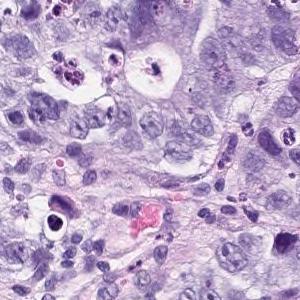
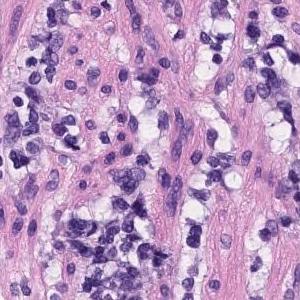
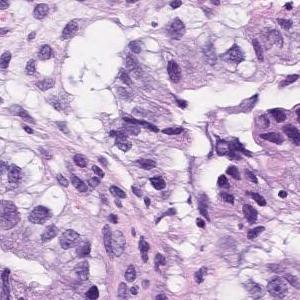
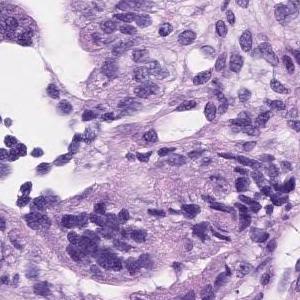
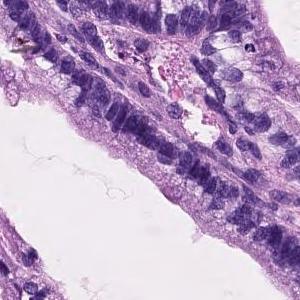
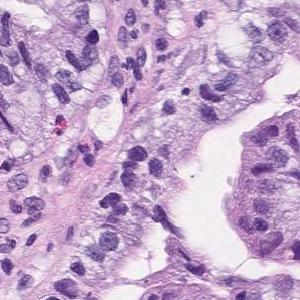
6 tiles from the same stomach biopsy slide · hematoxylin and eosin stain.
The pathologist's report on the biopsy slide these tiles were taken from. The report and the diagnosis cover the entire slide, so not every feature they name need be visible here, and some tissue shown may not be tumor.
Tumor cells are large, highly columnar, large club-shaped nuclei, and are associated with chromatin aggregation. Papillary adenocarcinoma.
